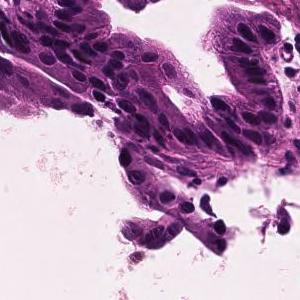
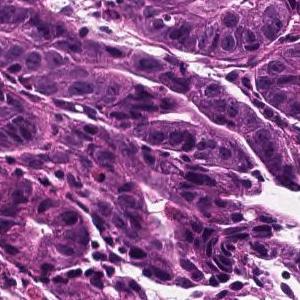
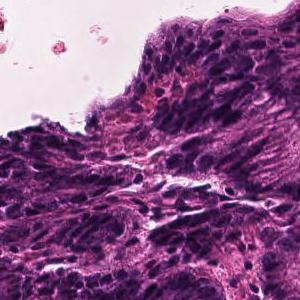
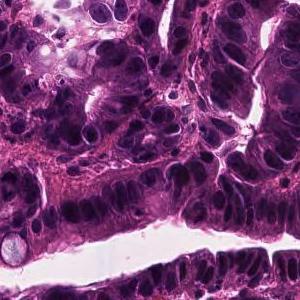
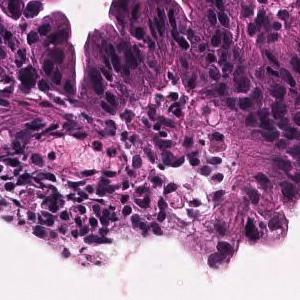
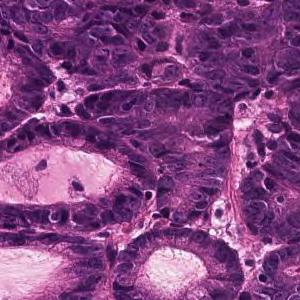
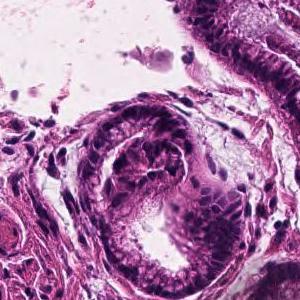
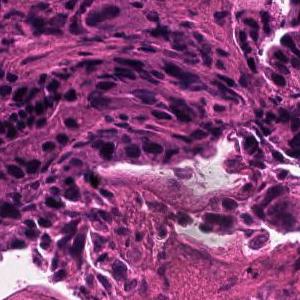
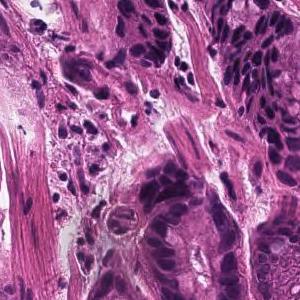
Hematoxylin and eosin stain · ×20 · 9 tiles cut from one stomach biopsy slide.
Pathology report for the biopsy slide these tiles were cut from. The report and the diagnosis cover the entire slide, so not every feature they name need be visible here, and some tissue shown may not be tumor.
In the superficial epithelium, tumor tissue that invades by forming medium-sized to small, irregular ducts is observed. Well differentiated tubular adenocarcinoma.
